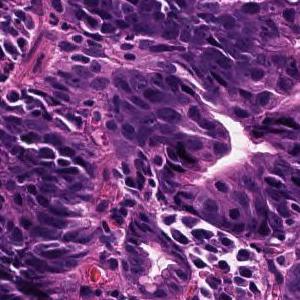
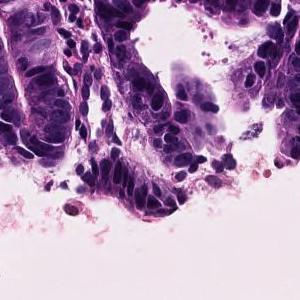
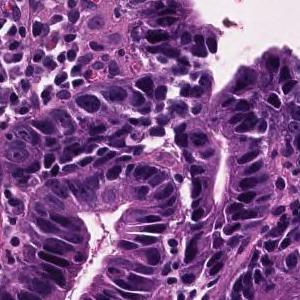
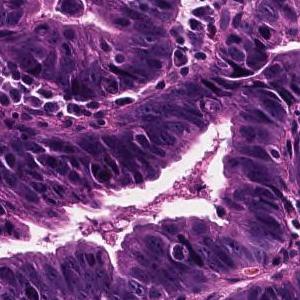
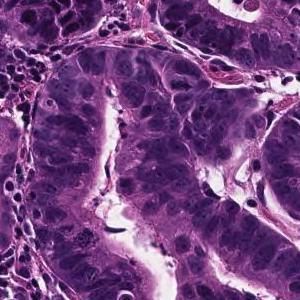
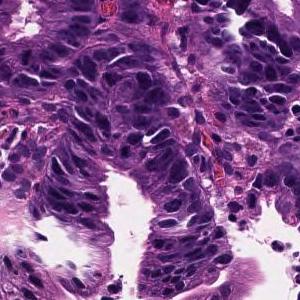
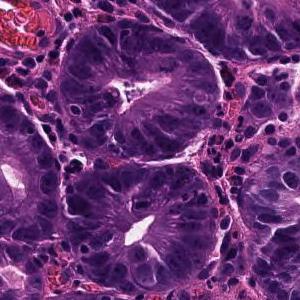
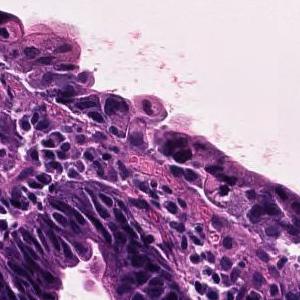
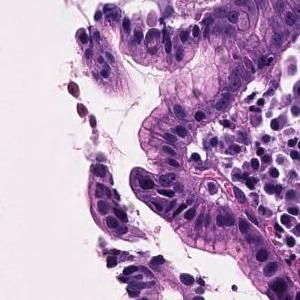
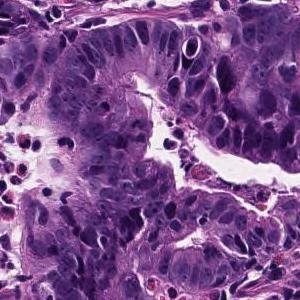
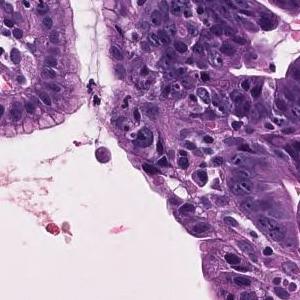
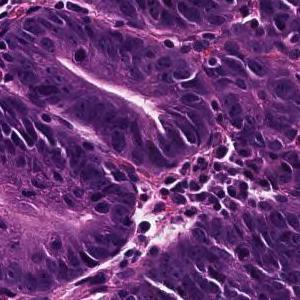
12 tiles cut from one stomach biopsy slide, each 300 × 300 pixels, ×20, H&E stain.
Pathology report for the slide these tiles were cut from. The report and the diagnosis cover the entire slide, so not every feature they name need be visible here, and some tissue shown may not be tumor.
On the superficial epithelium, tumor tissue consisting of growth of medium-sized to large-sized, round or irregular glandular ducts is observed. Well differentiated tubular adenocarcinoma
